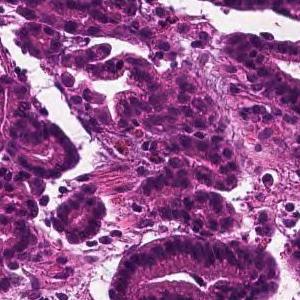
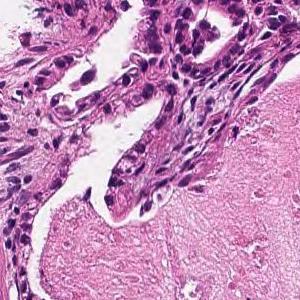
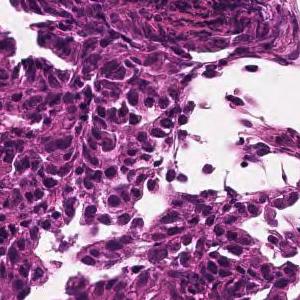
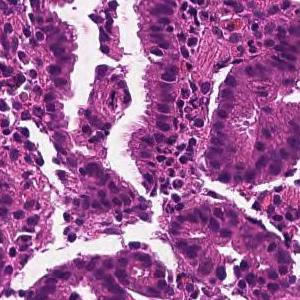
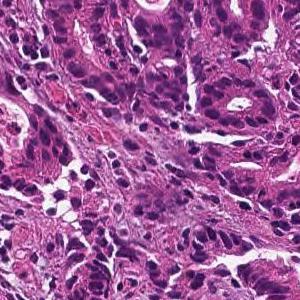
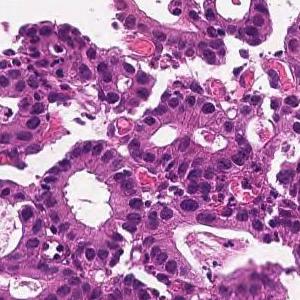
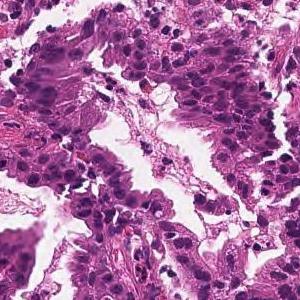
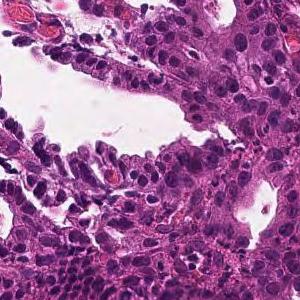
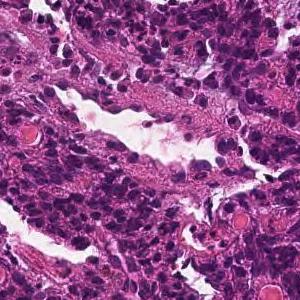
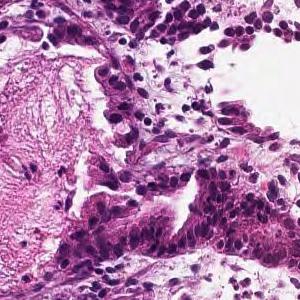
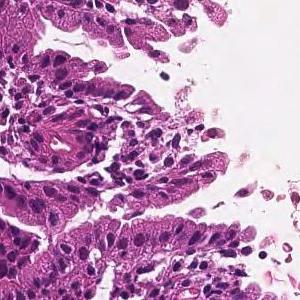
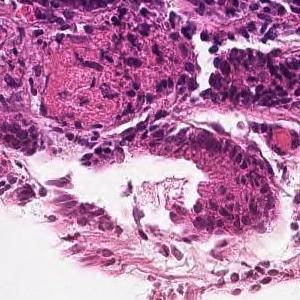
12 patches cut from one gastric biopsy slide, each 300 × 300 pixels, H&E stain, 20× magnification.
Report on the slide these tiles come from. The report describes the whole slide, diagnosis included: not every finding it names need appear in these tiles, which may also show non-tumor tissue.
From the superficial epithelium to the muscularis mucosae, tumor tissue consisting of medium-sized and irregular glandular ducts infiltrating is observed. Well differentiated tubular adenocarcinoma
